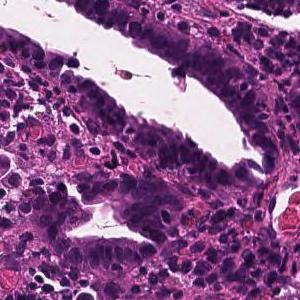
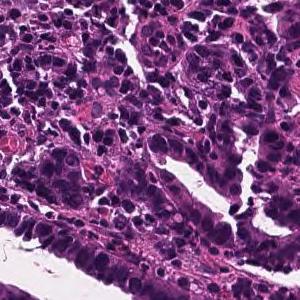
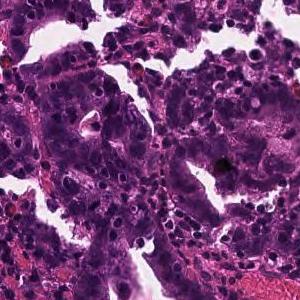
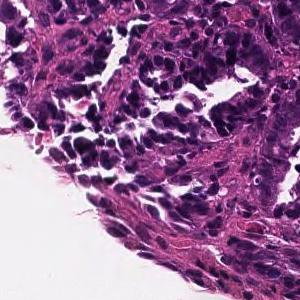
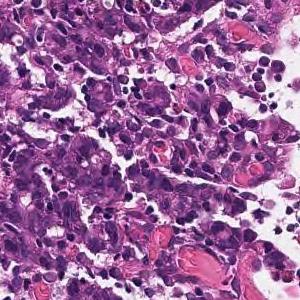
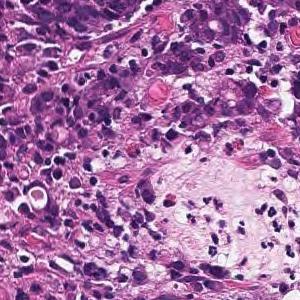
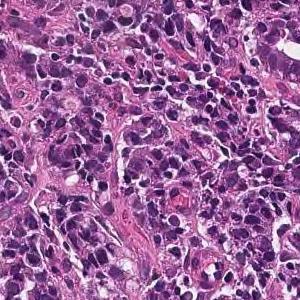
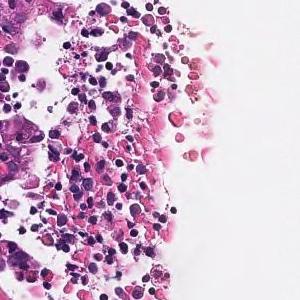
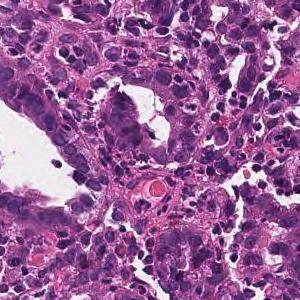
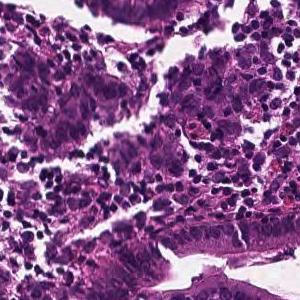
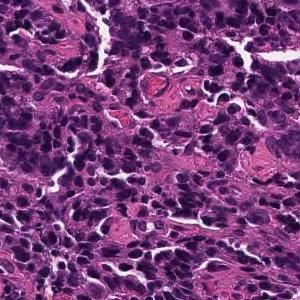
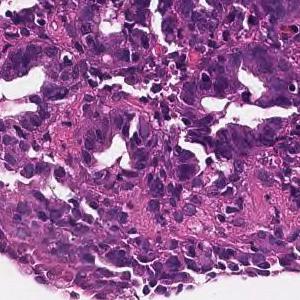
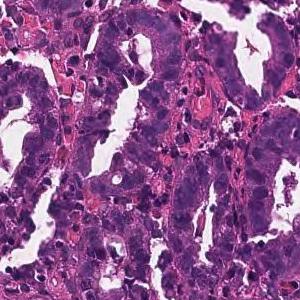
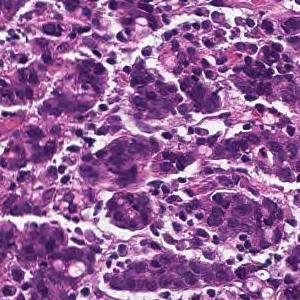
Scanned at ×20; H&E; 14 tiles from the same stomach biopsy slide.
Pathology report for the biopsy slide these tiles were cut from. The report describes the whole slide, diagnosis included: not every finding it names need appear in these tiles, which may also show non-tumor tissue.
In the superficial epithelium, tumor tissue that invades by forming medium-sized to small, irregular ducts is observed. moderately differentiated tubular adenocarcinoma.
